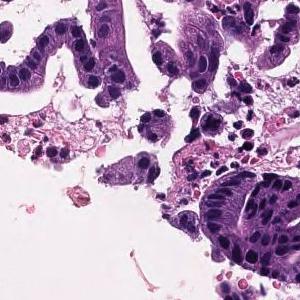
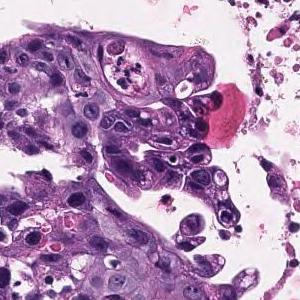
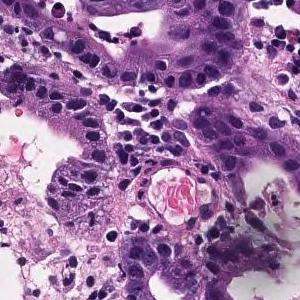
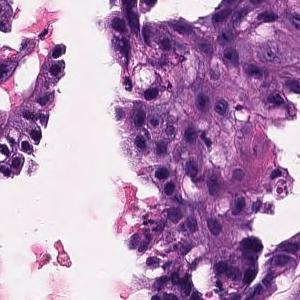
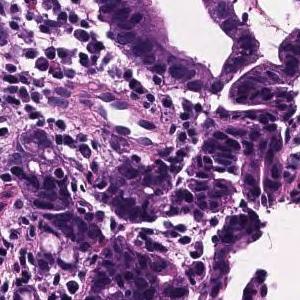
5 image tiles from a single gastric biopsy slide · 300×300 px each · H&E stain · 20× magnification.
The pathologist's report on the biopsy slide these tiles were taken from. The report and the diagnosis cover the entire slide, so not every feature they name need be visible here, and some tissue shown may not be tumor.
In the superficial epithelium, tumor tissue that invades by forming medium-sized to small, irregular ducts is observed. moderately differentiated tubular adenocarcinoma.
